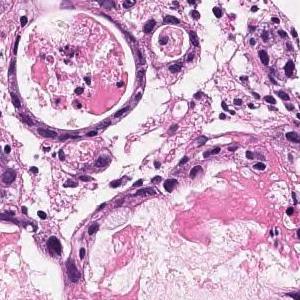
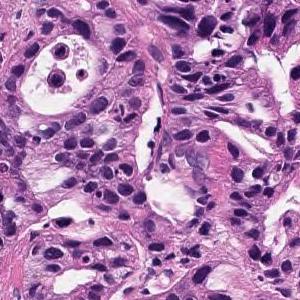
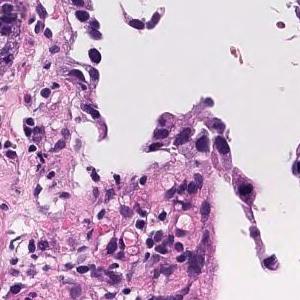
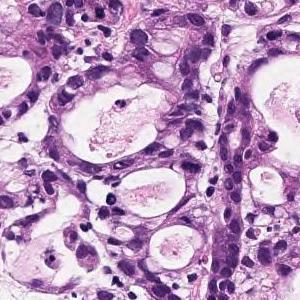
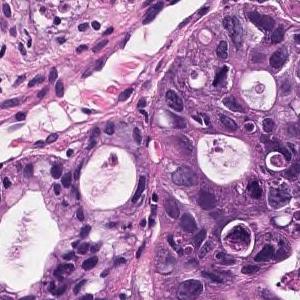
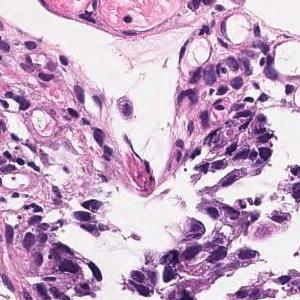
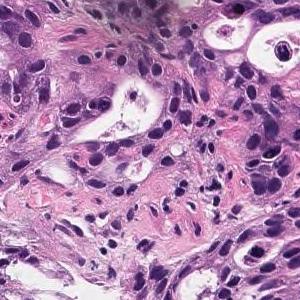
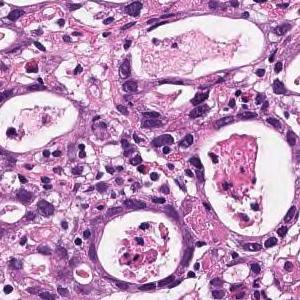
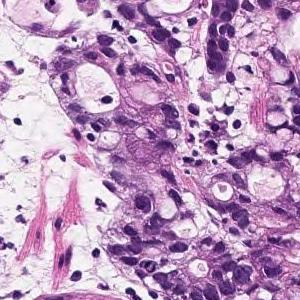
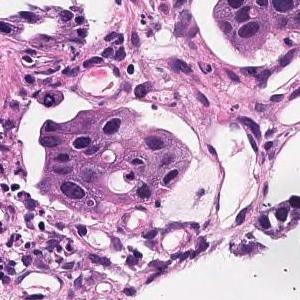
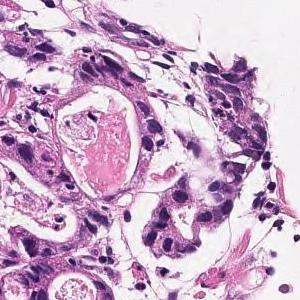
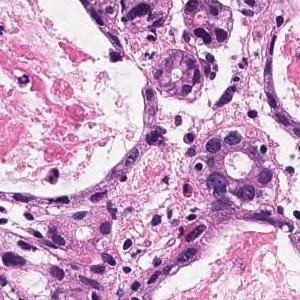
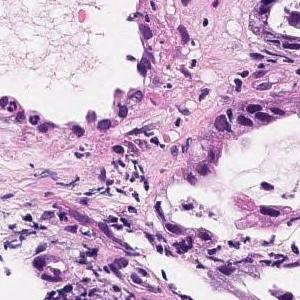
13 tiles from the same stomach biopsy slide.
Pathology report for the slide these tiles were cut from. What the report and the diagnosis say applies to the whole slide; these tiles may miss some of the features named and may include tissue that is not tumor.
In the superficial epithelium, tumor tissue that invades by forming medium-sized to small, irregular ducts is observed. Moderately differentiated adenocarcinoma.
Tumor subtype: moderately differentiated tubular adenocarcinoma.
